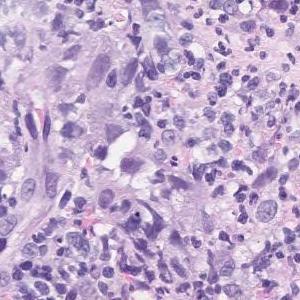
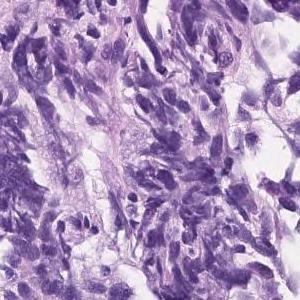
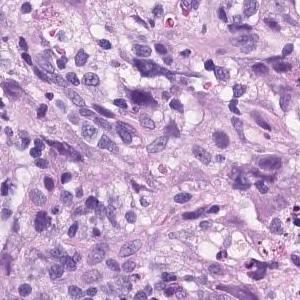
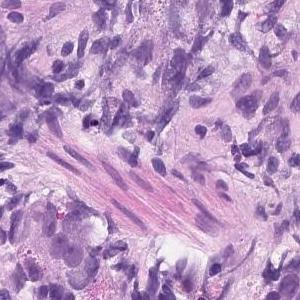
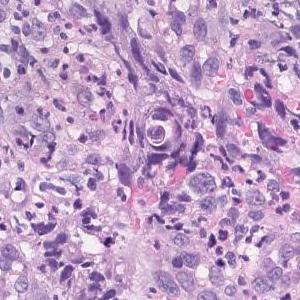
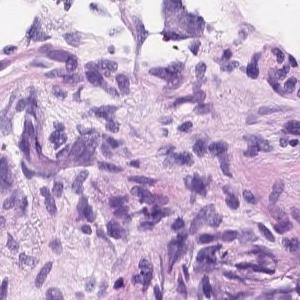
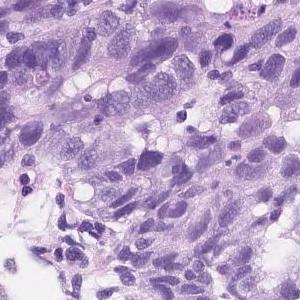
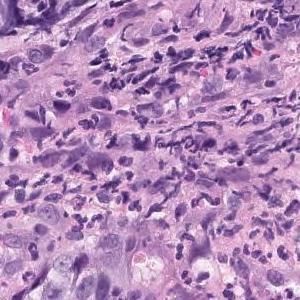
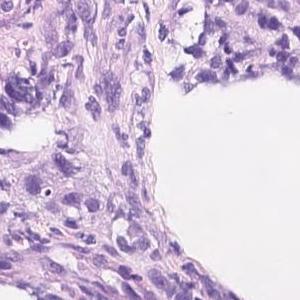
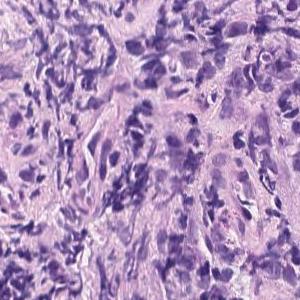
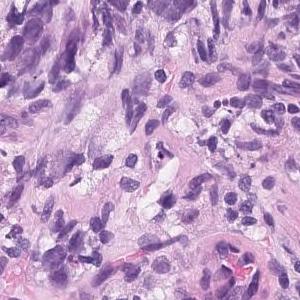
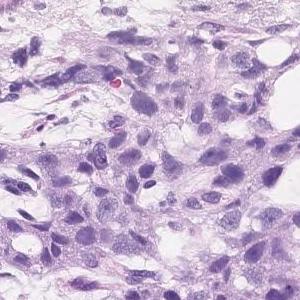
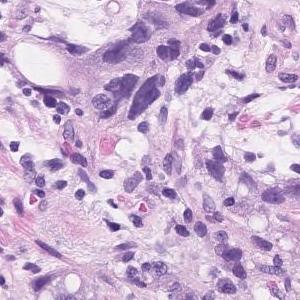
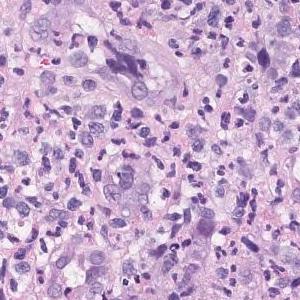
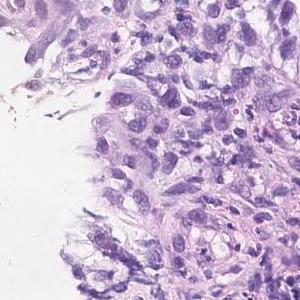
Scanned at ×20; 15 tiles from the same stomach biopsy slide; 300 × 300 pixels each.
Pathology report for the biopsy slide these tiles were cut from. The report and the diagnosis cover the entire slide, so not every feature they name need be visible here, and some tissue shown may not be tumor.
Atypical epithelial cells infiltrating and proliferating diffusely or while forming vesicles is observed. Poorly differentiated adenocarcinoma (poorly differentiated adenocarcinoma, solid type moderately differentiated tubular adenocarcinoma)
Labeled in the dataset as poorly differentiated adenocarcinoma, solid type. This name comes from the Japanese Classification of Gastric Carcinoma; the WHO 2019 classification calls it tubular adenocarcinoma, poorly differentiated.
